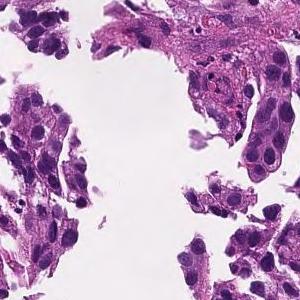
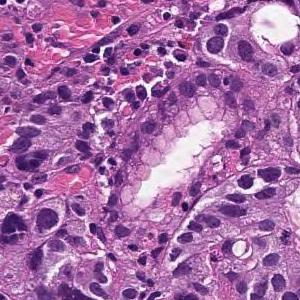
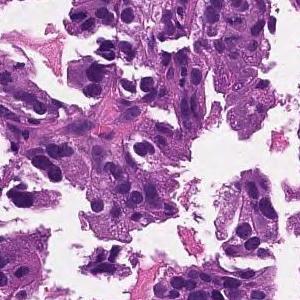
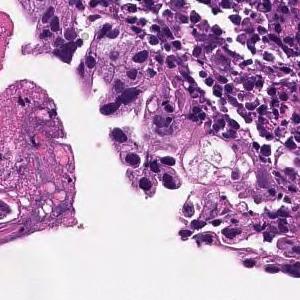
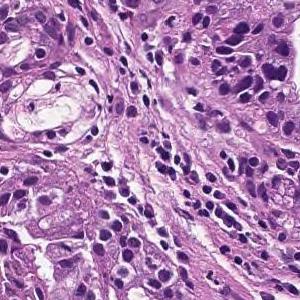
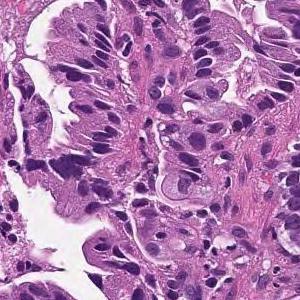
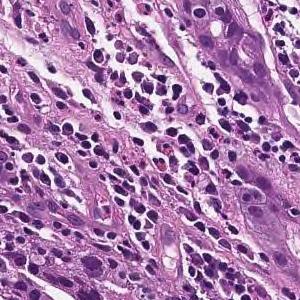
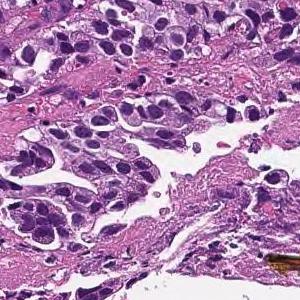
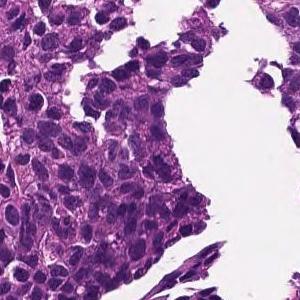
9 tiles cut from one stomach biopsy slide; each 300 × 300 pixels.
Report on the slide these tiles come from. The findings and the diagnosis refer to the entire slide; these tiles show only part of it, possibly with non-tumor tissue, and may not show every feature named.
Medium to small, irregular glandular ducts are formed in the superficial epithelium, and in some cases, the glandular ducts are fused to show solid alveolar lesions and infiltrating tumor tissue is observed. Moderately to poorly differentiated adenocarcinoma.
